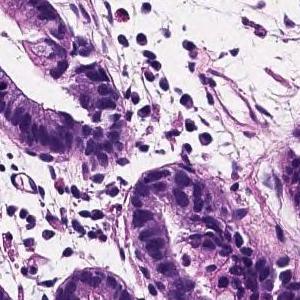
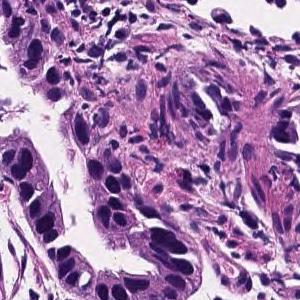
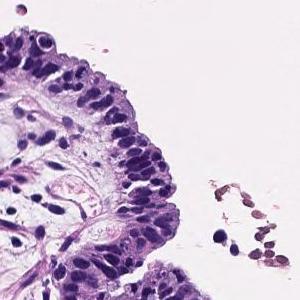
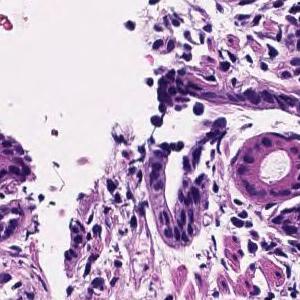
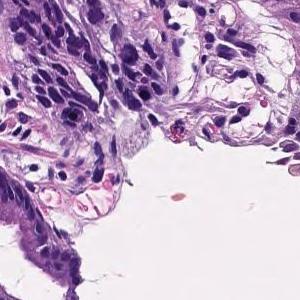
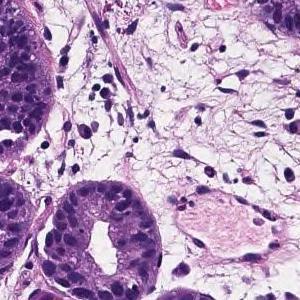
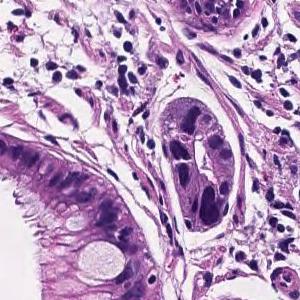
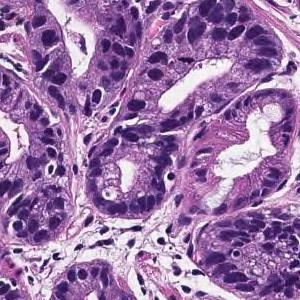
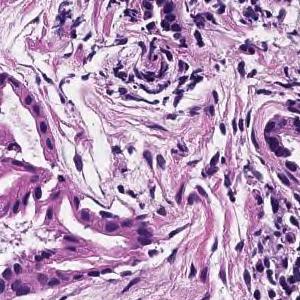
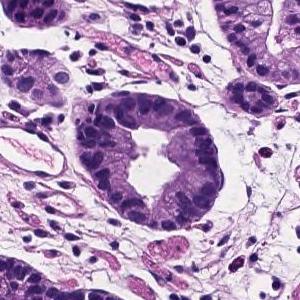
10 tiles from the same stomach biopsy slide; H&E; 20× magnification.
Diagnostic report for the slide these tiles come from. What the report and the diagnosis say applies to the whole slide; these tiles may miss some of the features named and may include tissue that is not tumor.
Tumor cells are large, highly columnar, large club-shaped nuclei, and are associated with chromatin aggregation. Papillary adenocarcinoma.
